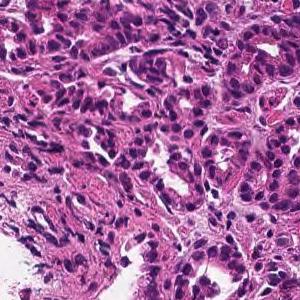
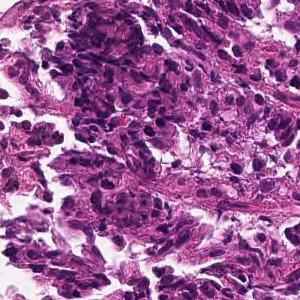
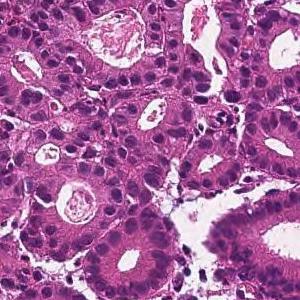
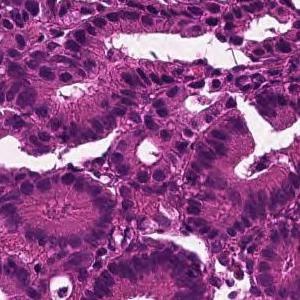
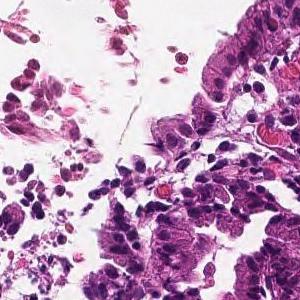
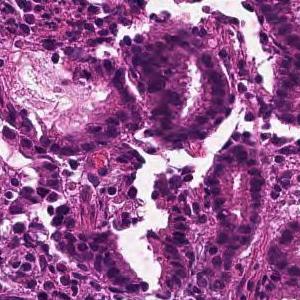
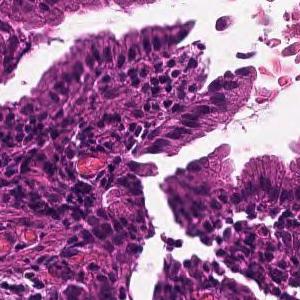
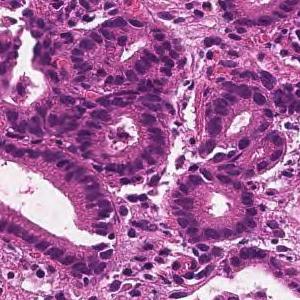
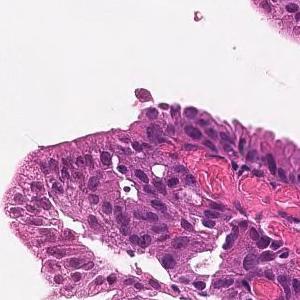
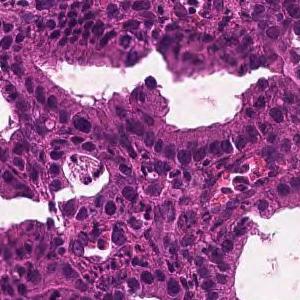
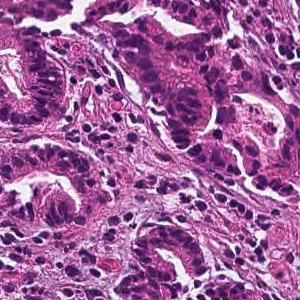
11 image tiles from a single gastric biopsy slide; scanned at ×20; hematoxylin and eosin stain.
The pathologist's report on the biopsy slide these tiles were taken from. The report describes the whole slide, diagnosis included: not every finding it names need appear in these tiles, which may also show non-tumor tissue.
From the superficial epithelium to the muscularis mucosae, tumor tissue consisting of medium-sized and irregular glandular ducts infiltrating is observed. Well differentiated tubular adenocarcinoma
